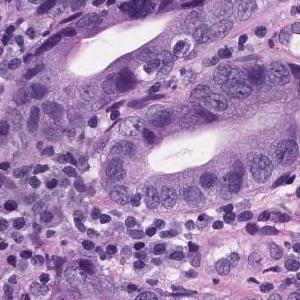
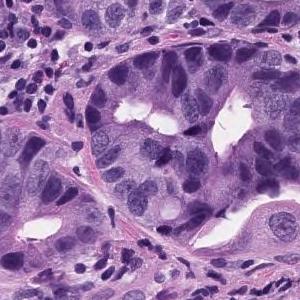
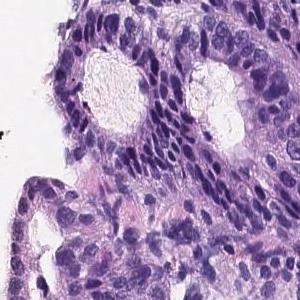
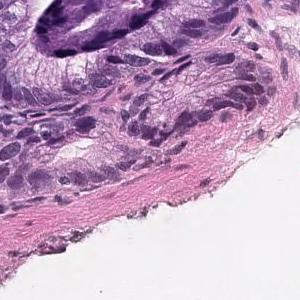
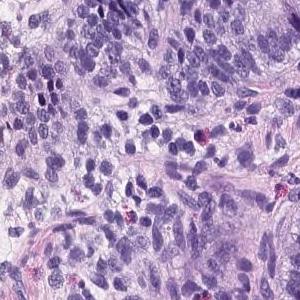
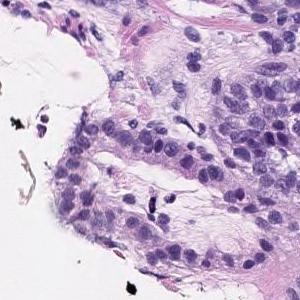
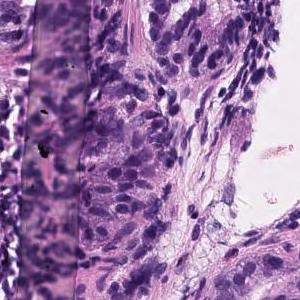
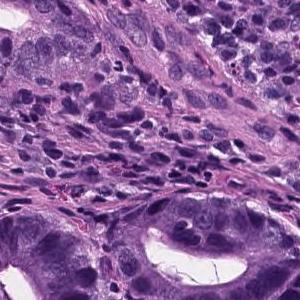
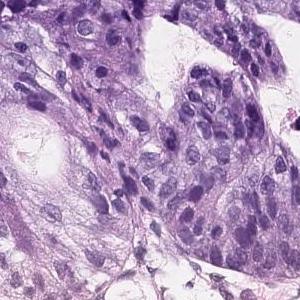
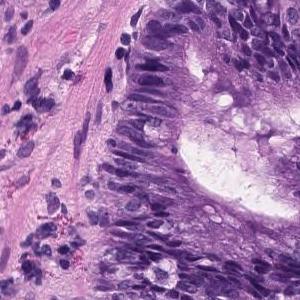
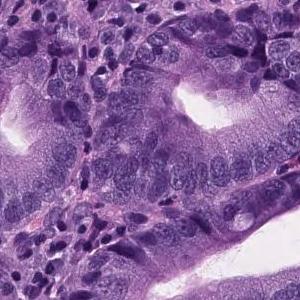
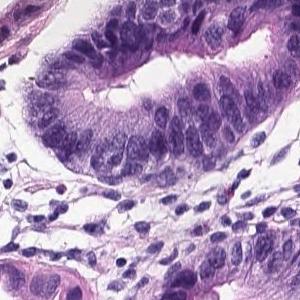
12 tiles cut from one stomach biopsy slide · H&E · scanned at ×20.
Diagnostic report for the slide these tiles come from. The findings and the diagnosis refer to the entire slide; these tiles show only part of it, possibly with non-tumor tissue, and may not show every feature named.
Tumor tissue consisting of medium-sized and irregular ducts is observed infiltrating in the superficial epithelium. Tumor cells are highly columnar, with nuclei aligned basolaterally and polarized. Well differentiated tubular adenocarcinoma.
